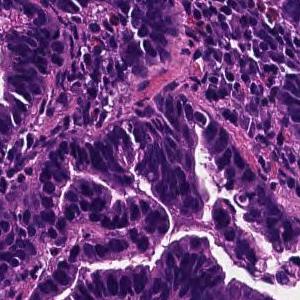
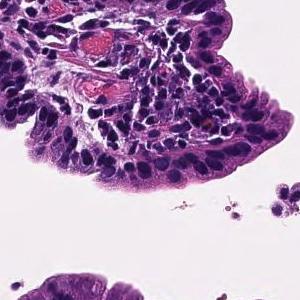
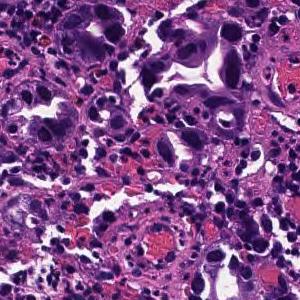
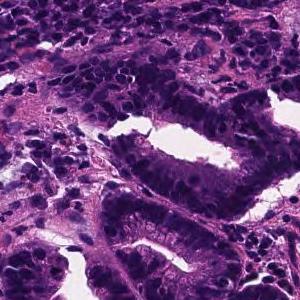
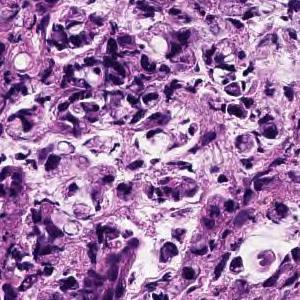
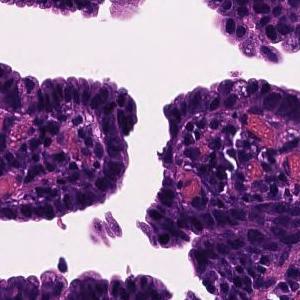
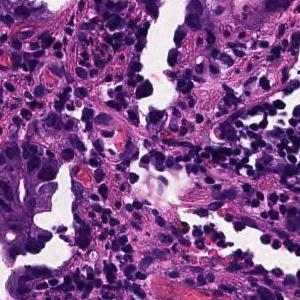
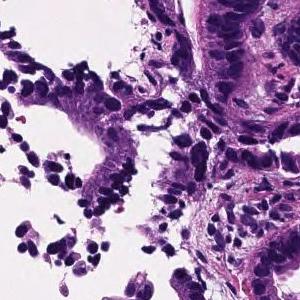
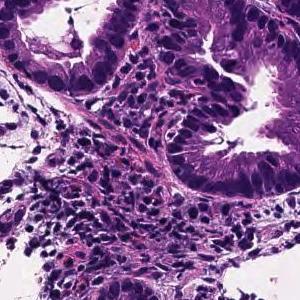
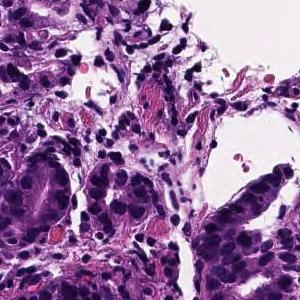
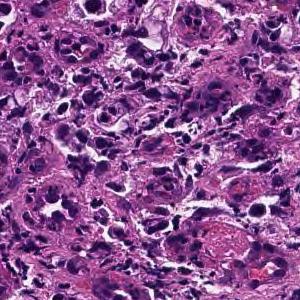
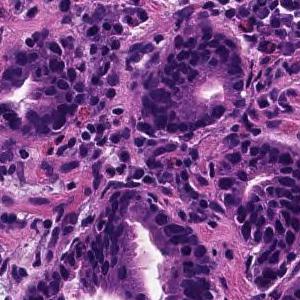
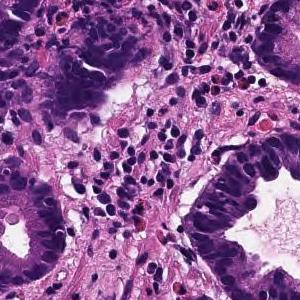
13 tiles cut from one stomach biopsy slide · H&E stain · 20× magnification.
Pathology report for the slide these tiles were cut from. The report and the diagnosis describe the slide as a whole, so these tiles may not show every feature named and may include non-tumor tissue.
On the superficial epithelium, tumor tissue that infiltrates by forming medium-sized papillary or small irregular ducts is observed. Papillary adenocarcinoma
